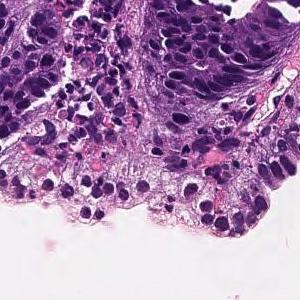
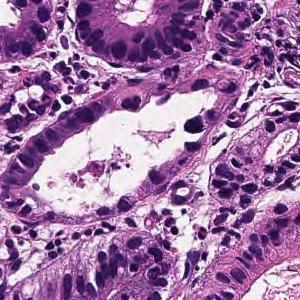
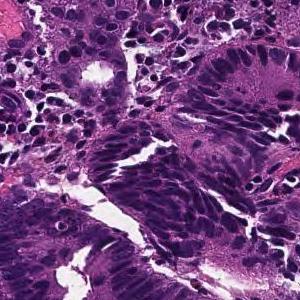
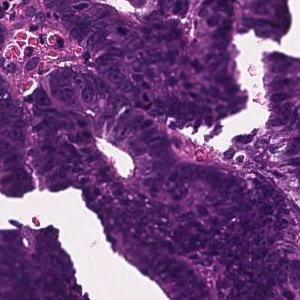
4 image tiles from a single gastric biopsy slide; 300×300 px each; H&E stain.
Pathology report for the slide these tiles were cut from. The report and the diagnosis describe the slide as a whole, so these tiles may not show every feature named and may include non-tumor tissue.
Tumor tissue consisting of large papillary structures is found in the superficial epithelium. Papillary adenocarcinoma.
